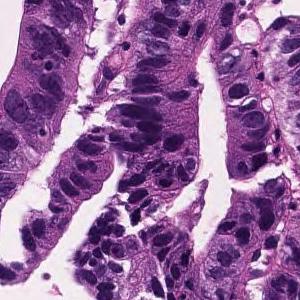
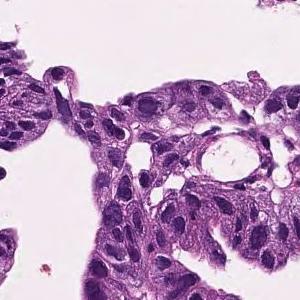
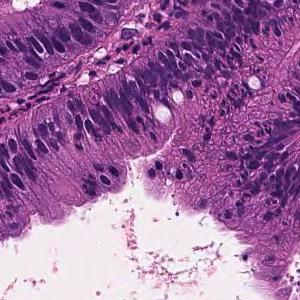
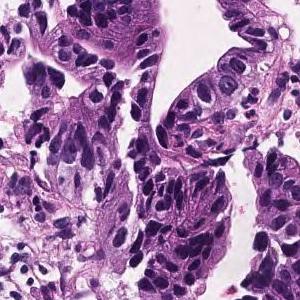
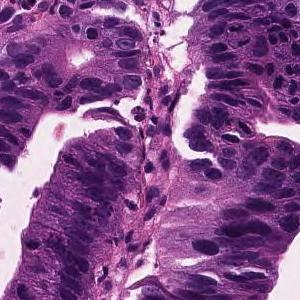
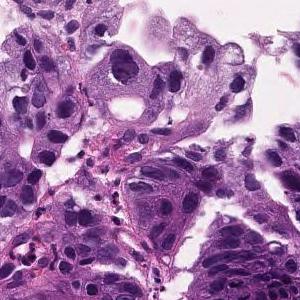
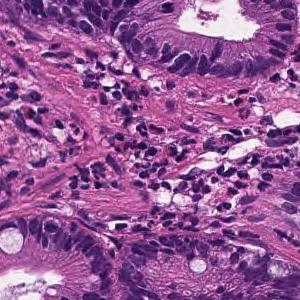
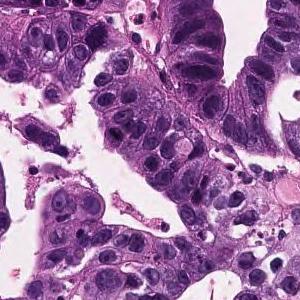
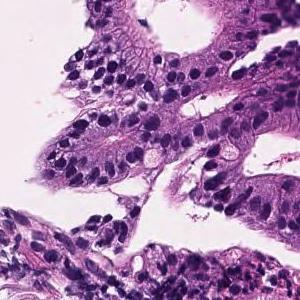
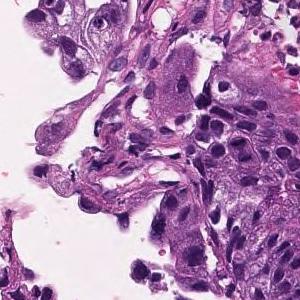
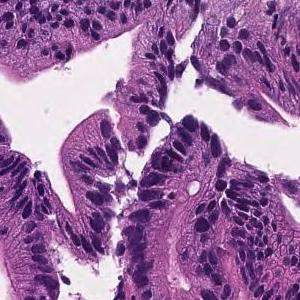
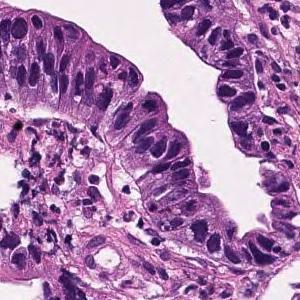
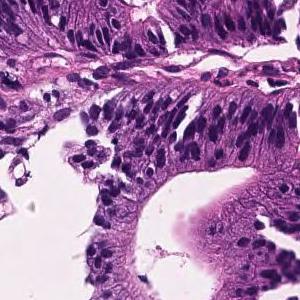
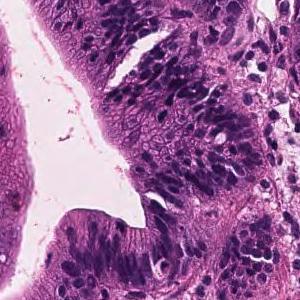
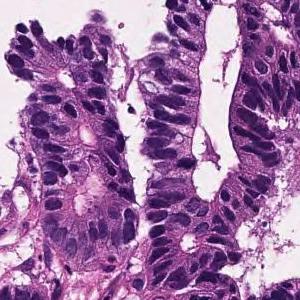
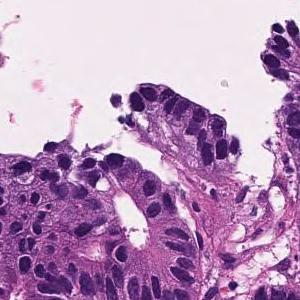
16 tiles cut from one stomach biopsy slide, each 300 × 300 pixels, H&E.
The pathologist's report on the biopsy slide these tiles were taken from. The findings and the diagnosis refer to the entire slide; these tiles show only part of it, possibly with non-tumor tissue, and may not show every feature named.
Tumor cells are large, highly columnar, large club-shaped nuclei, and are associated with chromatin aggregation. Papillary adenocarcinoma.
